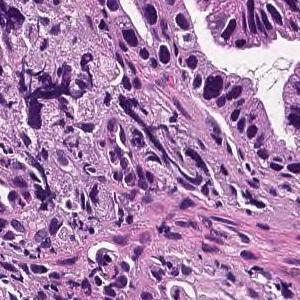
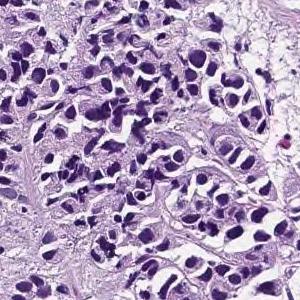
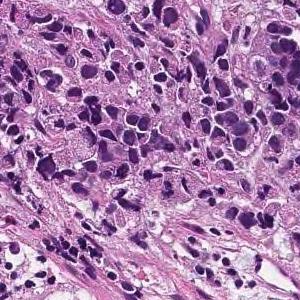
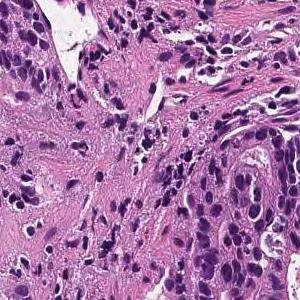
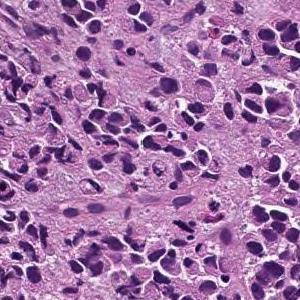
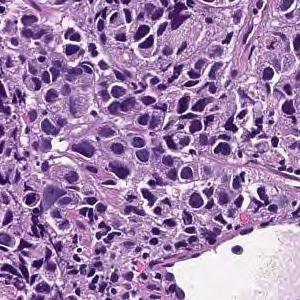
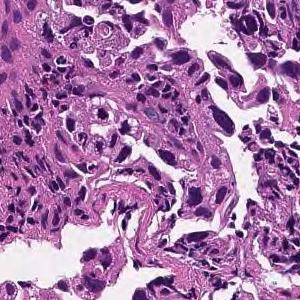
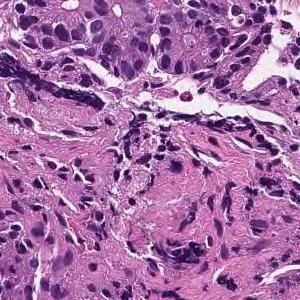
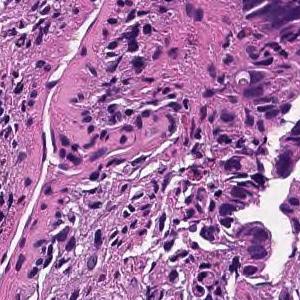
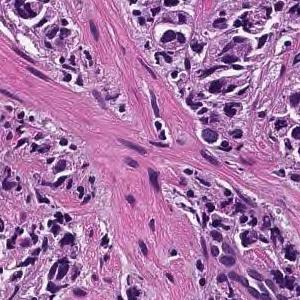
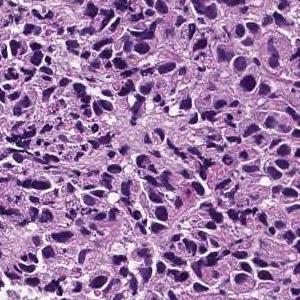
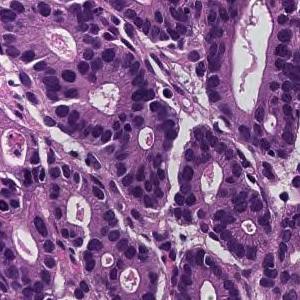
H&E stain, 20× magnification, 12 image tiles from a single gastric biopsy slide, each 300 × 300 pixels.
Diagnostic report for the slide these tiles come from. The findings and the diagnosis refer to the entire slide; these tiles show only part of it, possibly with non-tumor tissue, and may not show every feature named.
The lamina propria shows small cord-like tumor tissue that infiltrates with fibrosis and marked chronic inflammatory cell infiltration. Poorly differentiated adenocarcinoma, non-solid type
The non-solid type named here is a Japanese Classification of Gastric Carcinoma category.
